20× magnification; 13 image tiles from a single gastric biopsy slide.
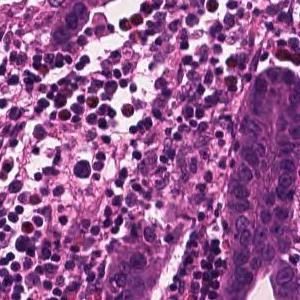
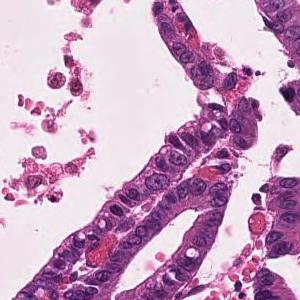
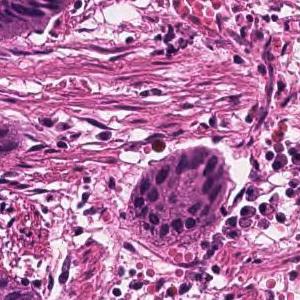
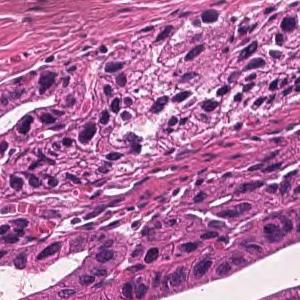
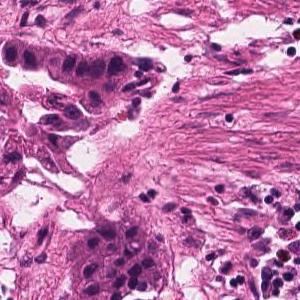
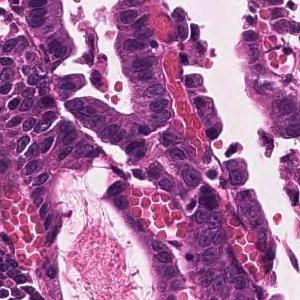
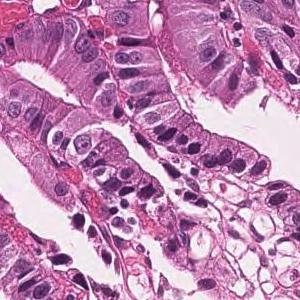
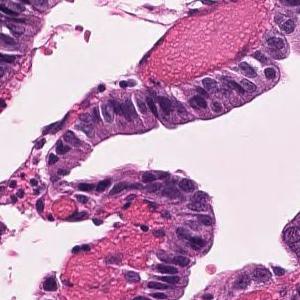
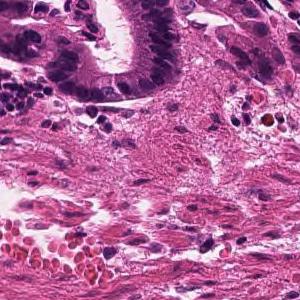
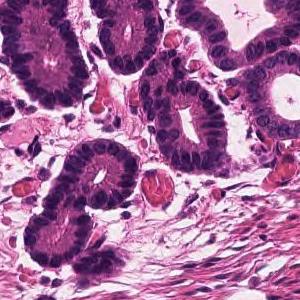
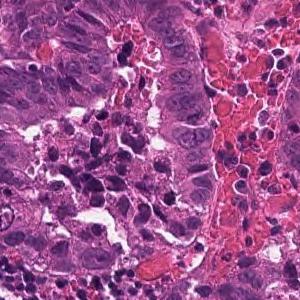
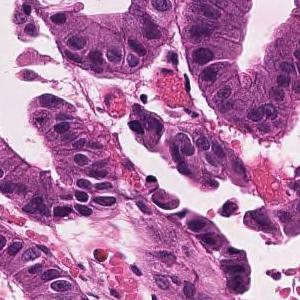
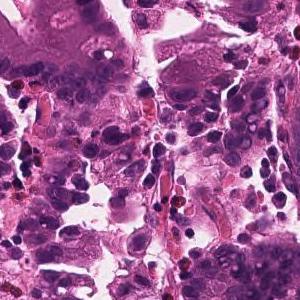
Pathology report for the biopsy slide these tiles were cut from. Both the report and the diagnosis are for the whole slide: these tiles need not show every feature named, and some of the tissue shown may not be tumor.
Infiltrating tumor tissue with medium-sized, irregular ductal structure or large papillary appearance is observed. Well differentiated tubular adenocarcinoma
